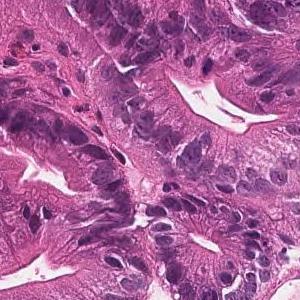
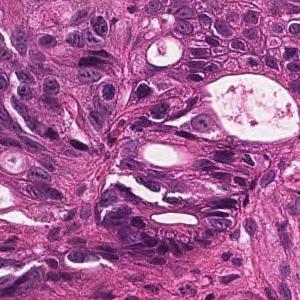
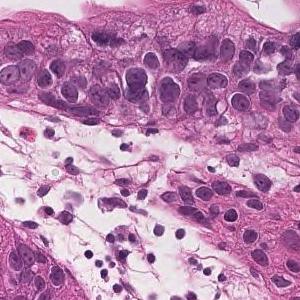
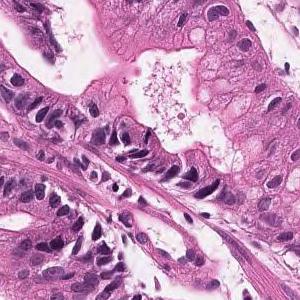
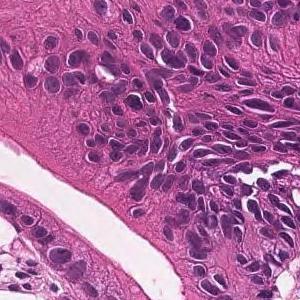
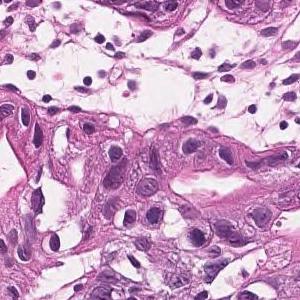
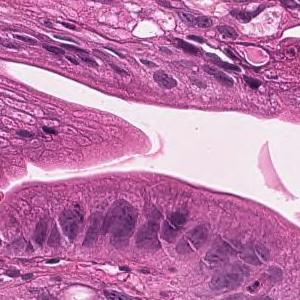
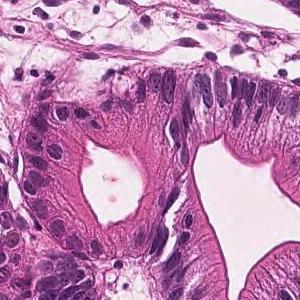
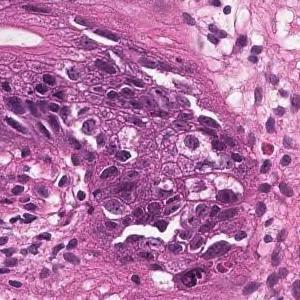
H&E; 9 tiles cut from one stomach biopsy slide; each 300 × 300 pixels.
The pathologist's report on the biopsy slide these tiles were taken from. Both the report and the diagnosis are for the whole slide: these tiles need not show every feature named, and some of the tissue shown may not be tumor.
On the superficial epithelium, tumor tissue that infiltrates by forming medium-sized papillary or small irregular ducts is observed. Papillary adenocarcinoma
